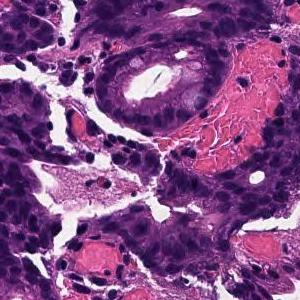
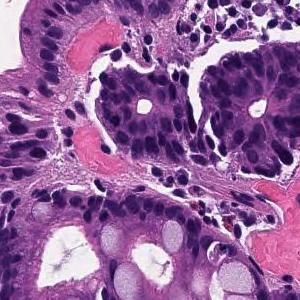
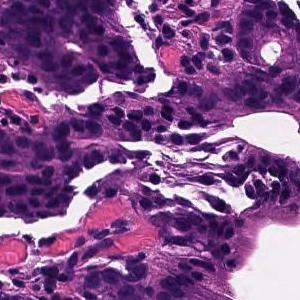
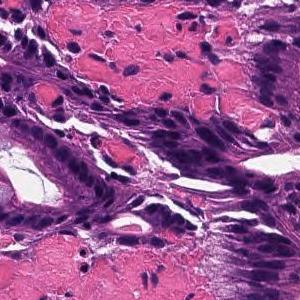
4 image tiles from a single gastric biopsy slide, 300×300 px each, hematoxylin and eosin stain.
Pathology report for the biopsy slide these tiles were cut from. The report and the diagnosis cover the entire slide, so not every feature they name need be visible here, and some tissue shown may not be tumor.
In the superficial epithelium, tumor tissue that invades by forming medium-sized to small, irregular ducts is observed. moderately differentiated tubular adenocarcinoma.
